Hematoxylin and eosin stain · 14 patches cut from one gastric biopsy slide · each 300 × 300 pixels.
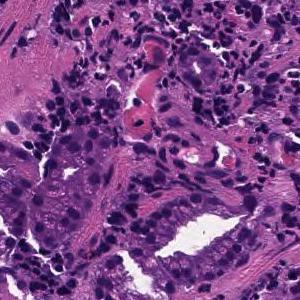
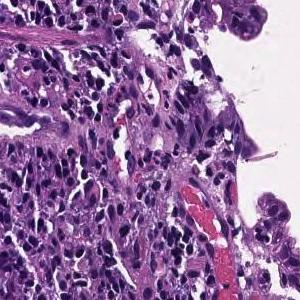
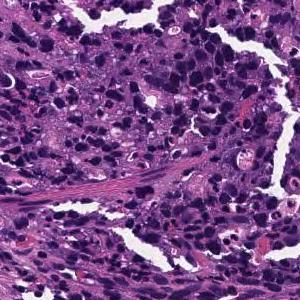
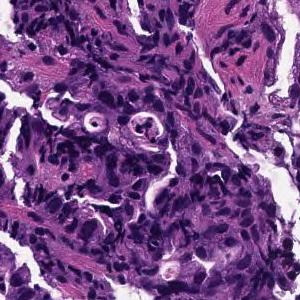
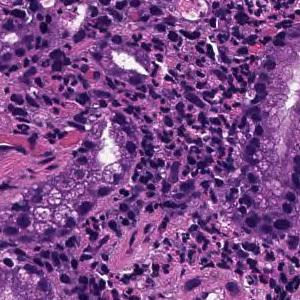
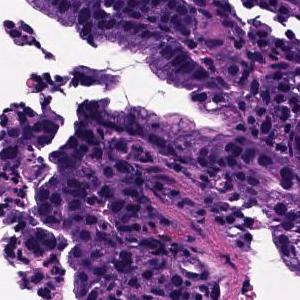
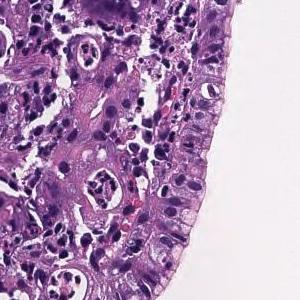
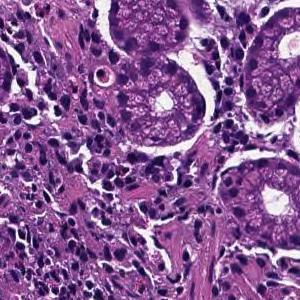
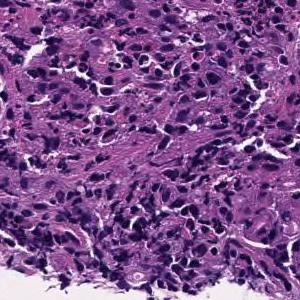
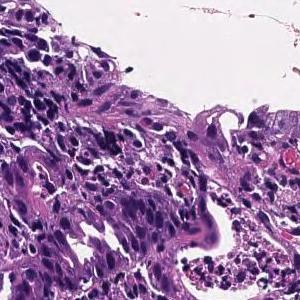
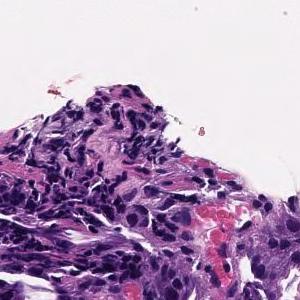
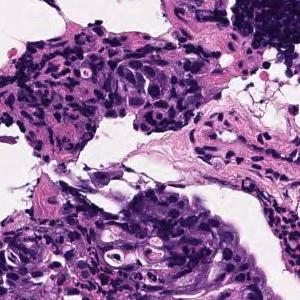
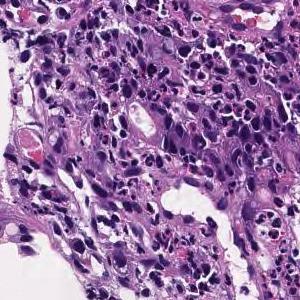
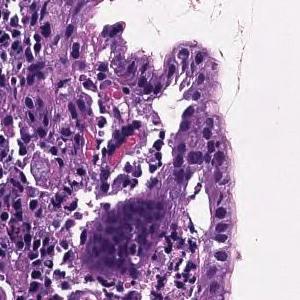
Pathology report for the slide these tiles were cut from. The report and the diagnosis describe the slide as a whole, so these tiles may not show every feature named and may include non-tumor tissue.
Medium to small, irregular glandular ducts are formed in the superficial epithelium, and in some cases, the glandular ducts are fused to show solid alveolar lesions and infiltrating tumor tissue is observed. Moderately to poorly differentiated adenocarcinoma.
